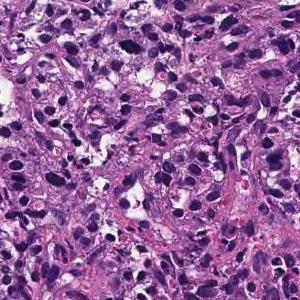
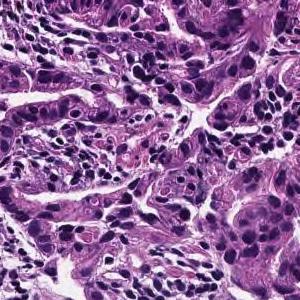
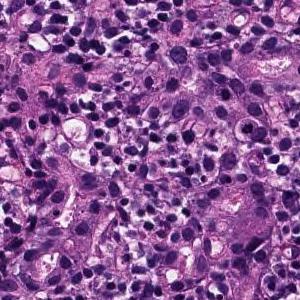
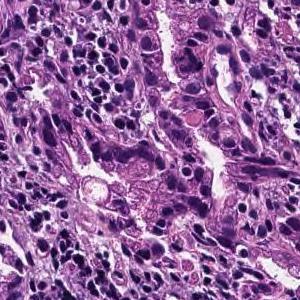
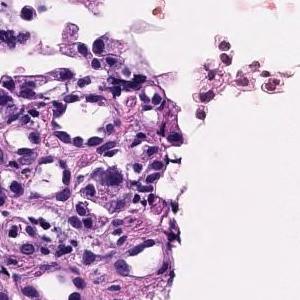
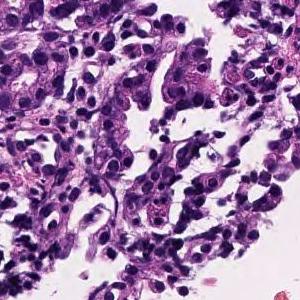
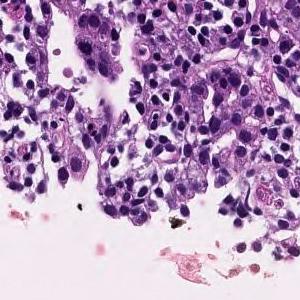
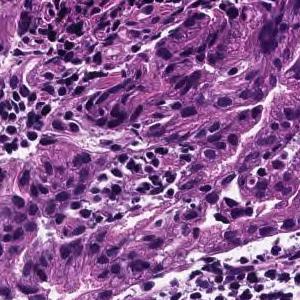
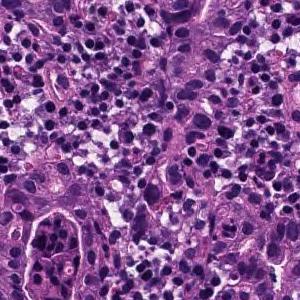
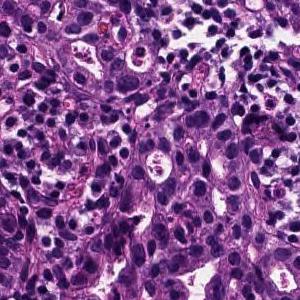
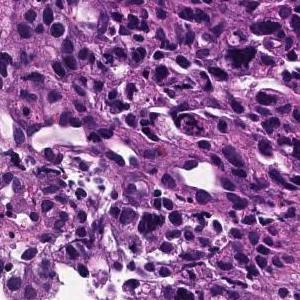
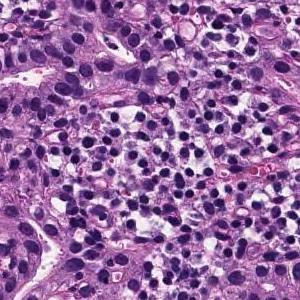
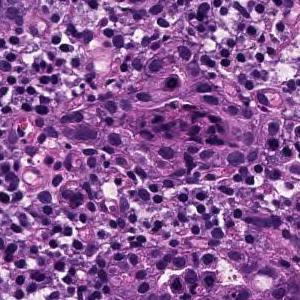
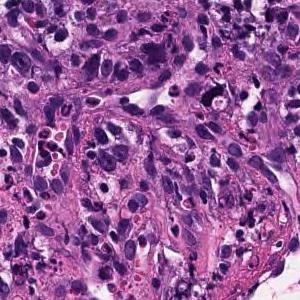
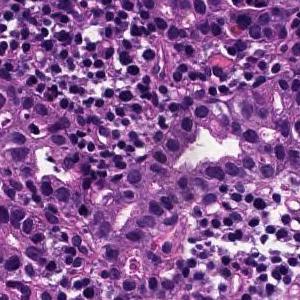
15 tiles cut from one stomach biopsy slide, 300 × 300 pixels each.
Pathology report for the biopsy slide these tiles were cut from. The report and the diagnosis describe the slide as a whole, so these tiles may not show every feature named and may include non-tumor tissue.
Medium to small, irregular glandular ducts are formed in the superficial epithelium, and in some cases, the glandular ducts are fused to show solid alveolar lesions and infiltrating tumor tissue is observed. Moderately to poorly differentiated adenocarcinoma.
